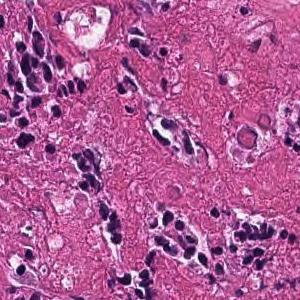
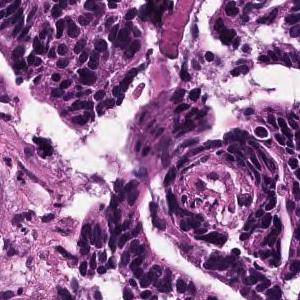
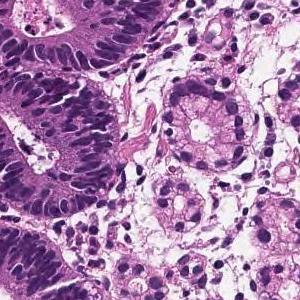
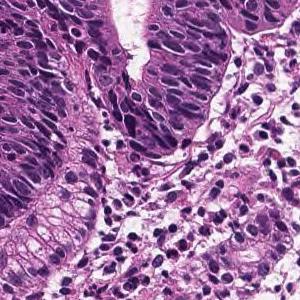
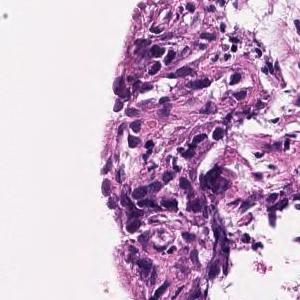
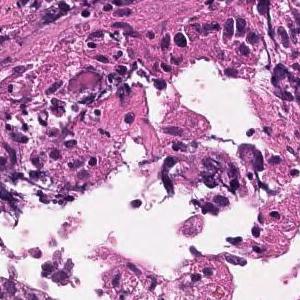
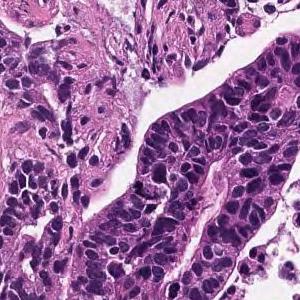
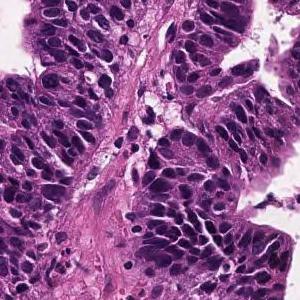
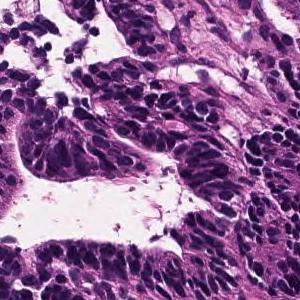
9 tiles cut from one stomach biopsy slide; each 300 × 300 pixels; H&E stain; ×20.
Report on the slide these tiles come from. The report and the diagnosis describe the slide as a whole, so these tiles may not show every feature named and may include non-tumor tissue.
In the superficial epithelium, tumor tissue that invades by forming medium-sized to small, irregular ducts is observed. Well differentiated tubular adenocarcinoma.
